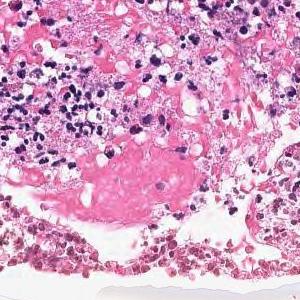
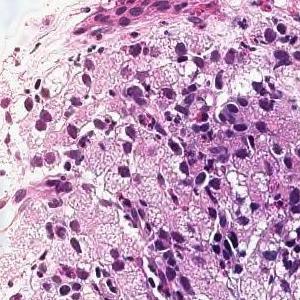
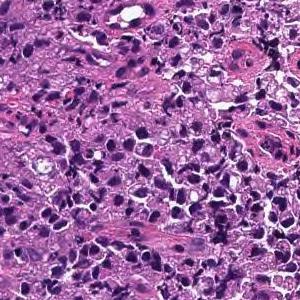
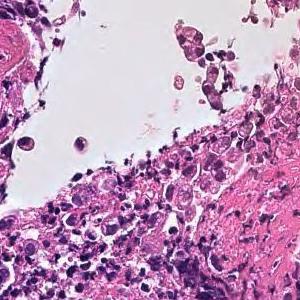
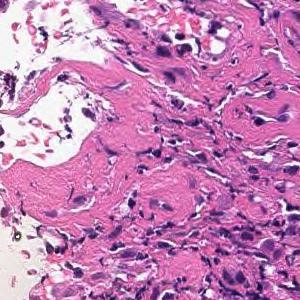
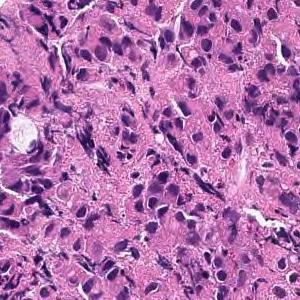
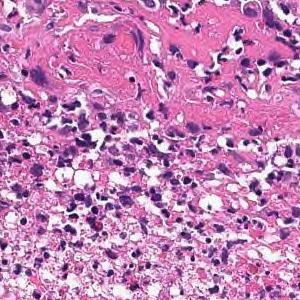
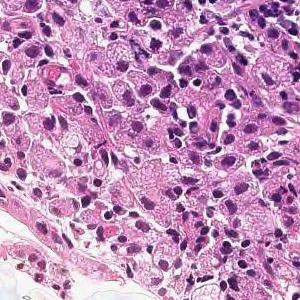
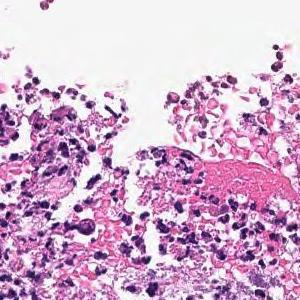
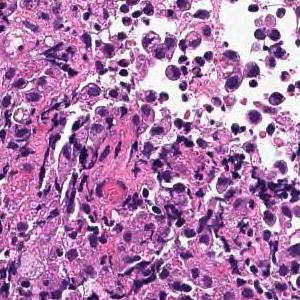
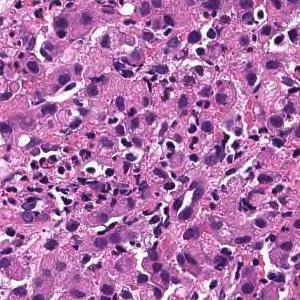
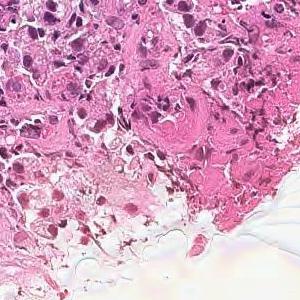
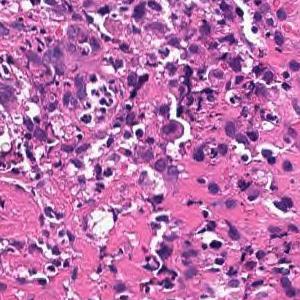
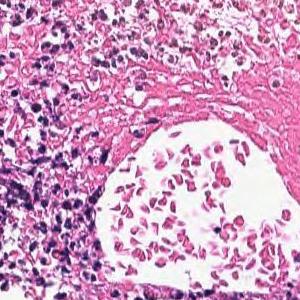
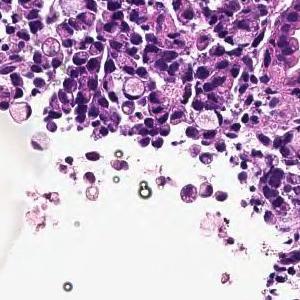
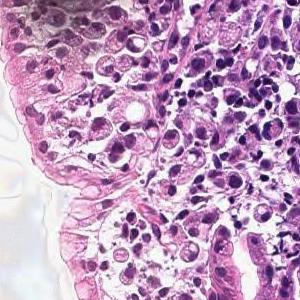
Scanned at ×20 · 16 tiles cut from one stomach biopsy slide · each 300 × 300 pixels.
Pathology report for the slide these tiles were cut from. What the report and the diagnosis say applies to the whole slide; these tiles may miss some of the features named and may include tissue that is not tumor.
Tumor tissue consisting of diffusely infiltrated large atypical epithelial cells or signet ring atypical cells is observed in the superficial epithelium. Poorly differentiated adenocarcinoma, solid-type
Tumor subtype: poorly differentiated adenocarcinoma, solid type, a category of the Japanese Classification of Gastric Carcinoma; in the WHO 2019 classification it is tubular adenocarcinoma, poorly differentiated.
